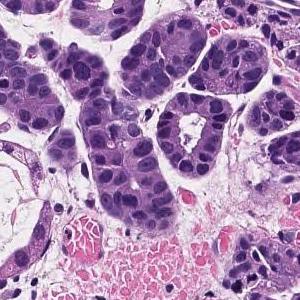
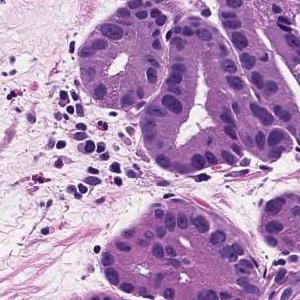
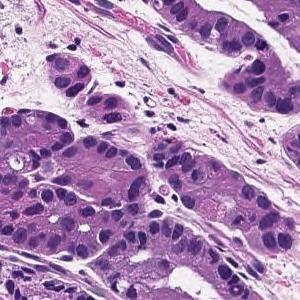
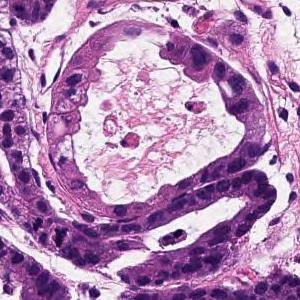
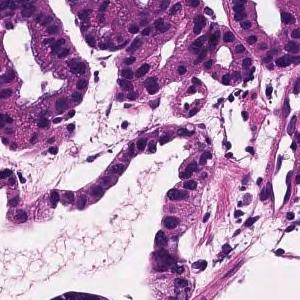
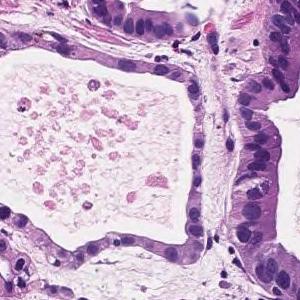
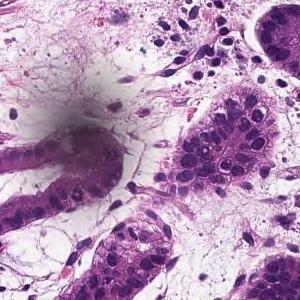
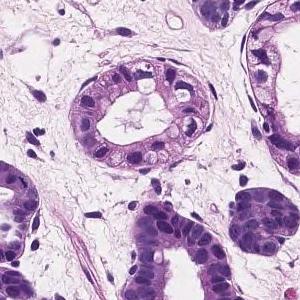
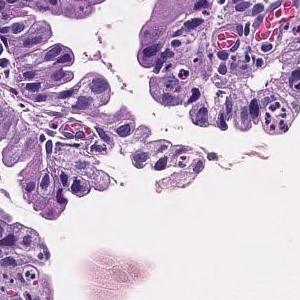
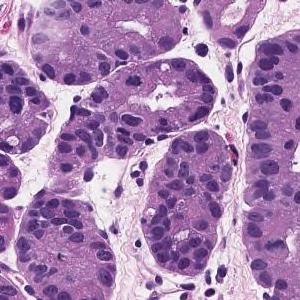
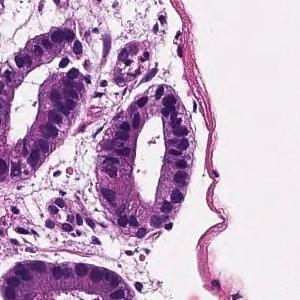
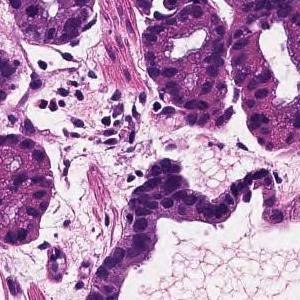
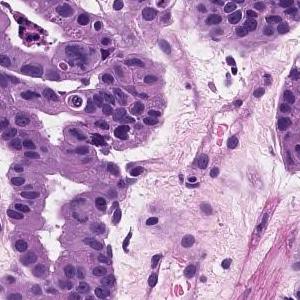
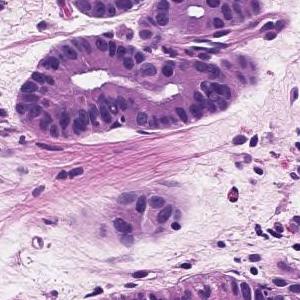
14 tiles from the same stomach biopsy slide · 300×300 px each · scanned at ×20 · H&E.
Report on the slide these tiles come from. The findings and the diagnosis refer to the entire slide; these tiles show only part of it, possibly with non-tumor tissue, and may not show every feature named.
Tumor cells are large, highly columnar, large club-shaped nuclei, and are associated with chromatin aggregation. Papillary adenocarcinoma.
